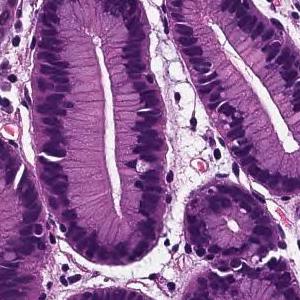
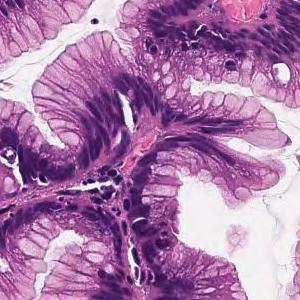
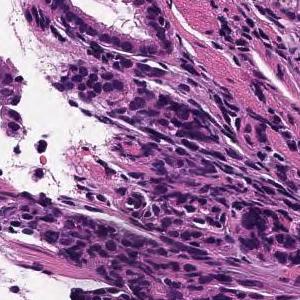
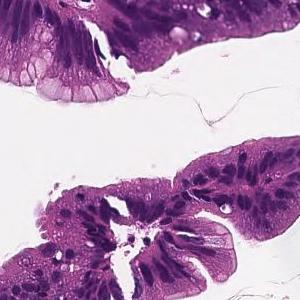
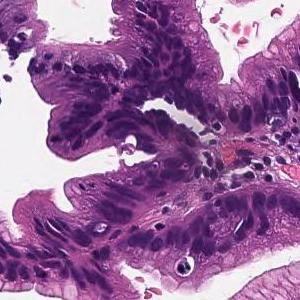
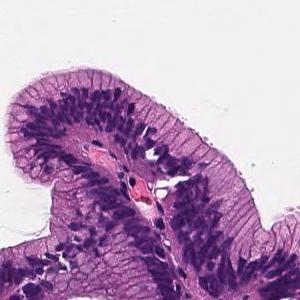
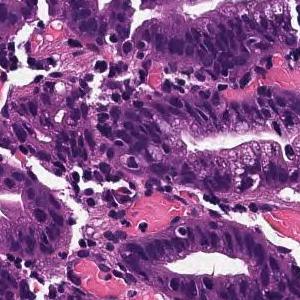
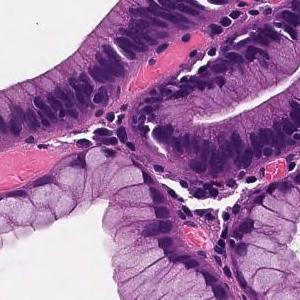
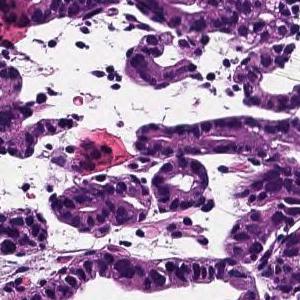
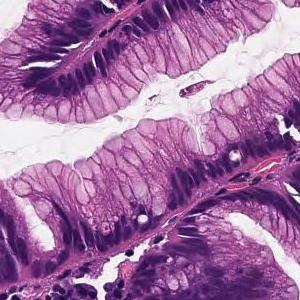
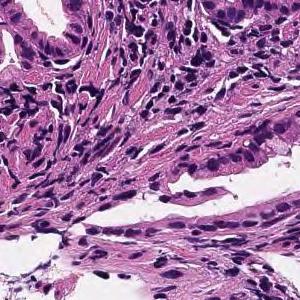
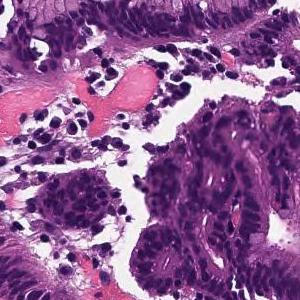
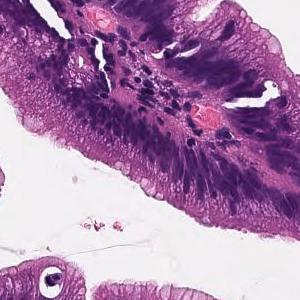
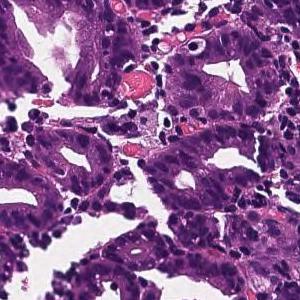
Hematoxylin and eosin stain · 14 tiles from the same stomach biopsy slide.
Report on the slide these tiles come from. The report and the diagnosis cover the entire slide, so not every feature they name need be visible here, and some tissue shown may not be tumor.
Cells with elliptical or atypical nuclei form dense ducts with relatively clear growth. Well differentiated tubular adenocarcinoma
